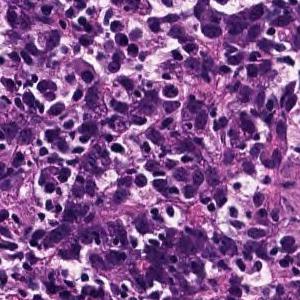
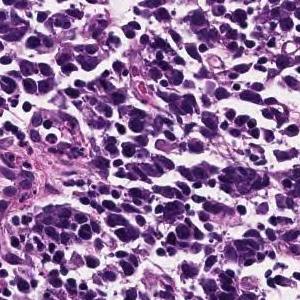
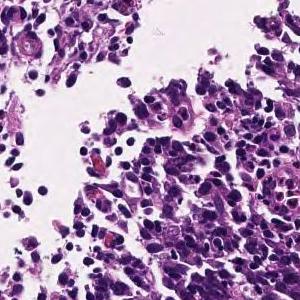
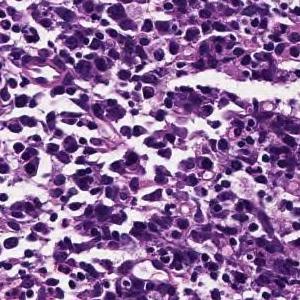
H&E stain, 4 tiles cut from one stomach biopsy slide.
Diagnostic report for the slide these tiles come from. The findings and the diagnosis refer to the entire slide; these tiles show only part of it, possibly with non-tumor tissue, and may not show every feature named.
Tumor tissue consisting of cord-like or small, irregular glandular ducts fused and infiltrated is observed in the superficial epithelium. Poorly differentiated adenocarcinoma, non-solid type
"Non-solid type" is a category of the Japanese Classification of Gastric Carcinoma.
